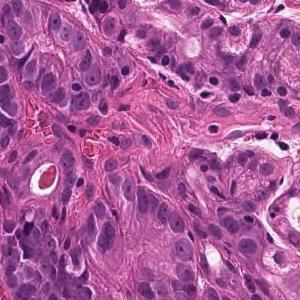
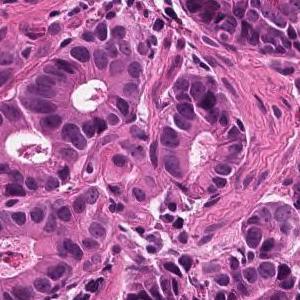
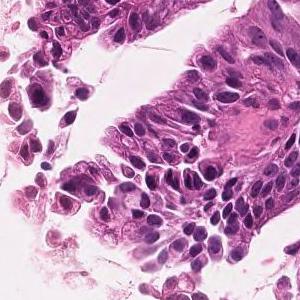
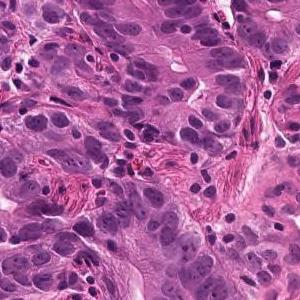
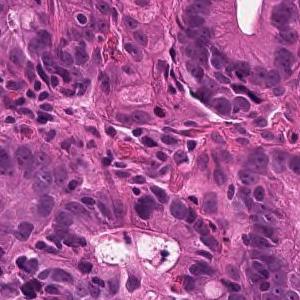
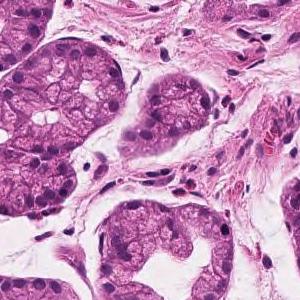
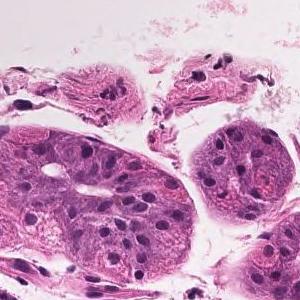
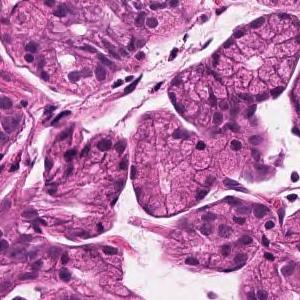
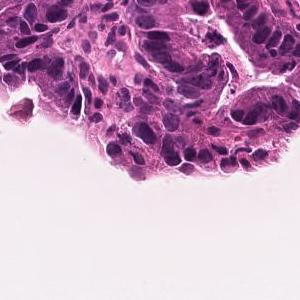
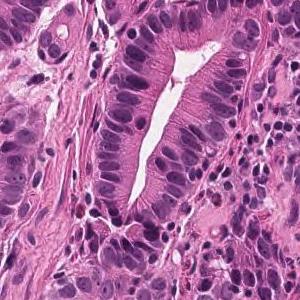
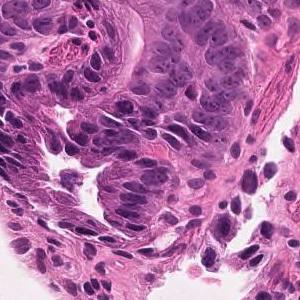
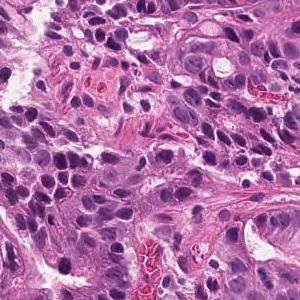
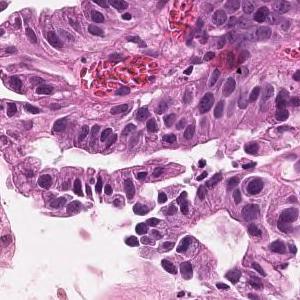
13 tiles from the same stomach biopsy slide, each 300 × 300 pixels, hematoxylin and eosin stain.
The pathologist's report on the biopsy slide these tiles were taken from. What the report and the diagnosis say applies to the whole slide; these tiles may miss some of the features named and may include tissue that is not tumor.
In the superficial epithelium, tumor tissue that invades by forming medium-sized to small, irregular ducts is observed. Well differentiated tubular adenocarcinoma.
